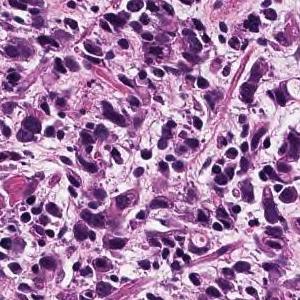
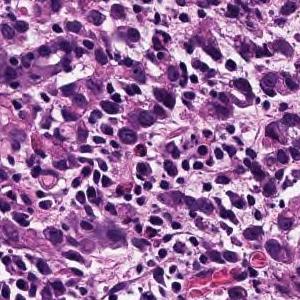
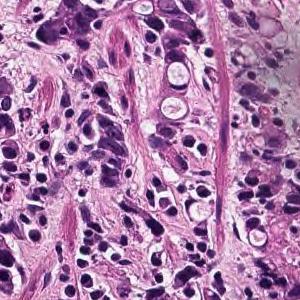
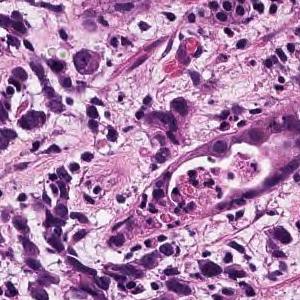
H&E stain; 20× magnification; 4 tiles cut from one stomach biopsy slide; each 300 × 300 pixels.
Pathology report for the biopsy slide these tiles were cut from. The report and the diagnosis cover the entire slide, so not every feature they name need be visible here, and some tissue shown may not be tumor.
Tumor tissue consisting of cord-like or small, irregular glandular ducts fused and infiltrated is observed in the superficial epithelium. Poorly differentiated adenocarcinoma, non-solid type
The non-solid type named here is a Japanese Classification of Gastric Carcinoma category.
